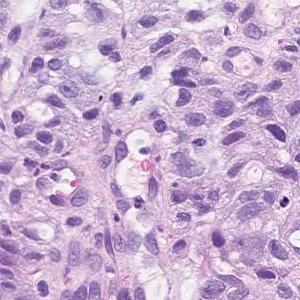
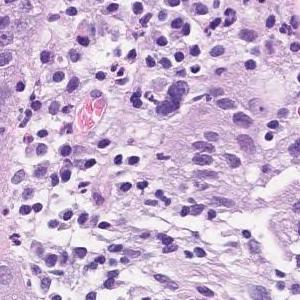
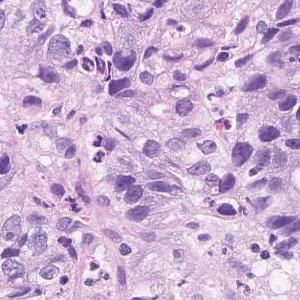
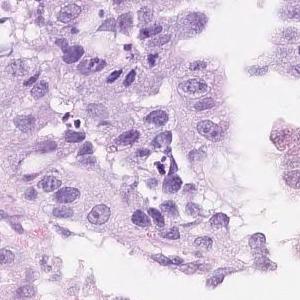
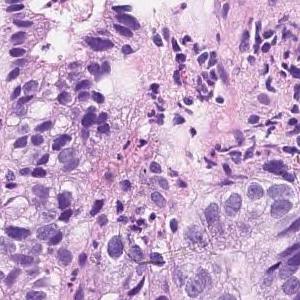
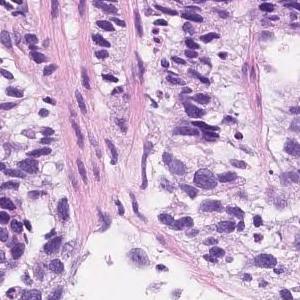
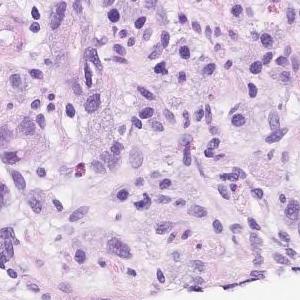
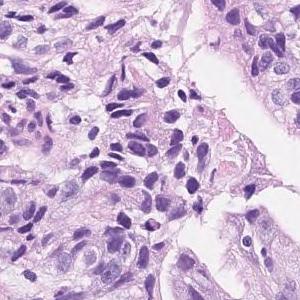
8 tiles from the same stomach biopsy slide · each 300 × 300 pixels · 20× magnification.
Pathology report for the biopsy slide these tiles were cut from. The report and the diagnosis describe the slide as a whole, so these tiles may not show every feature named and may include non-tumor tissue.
In the superficial epithelium, tumor tissue that invades by forming medium-sized to small, irregular ducts is observed. Moderately to poorly differentiated adenocarcinoma
